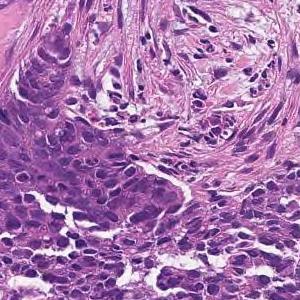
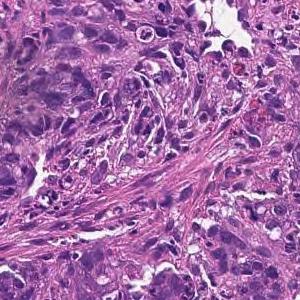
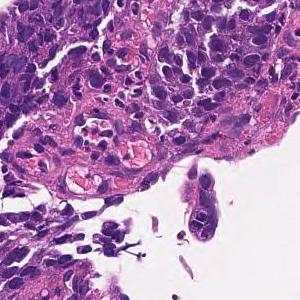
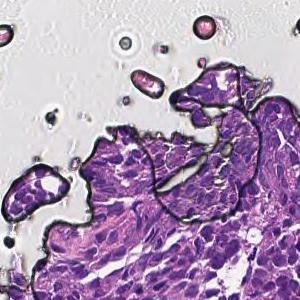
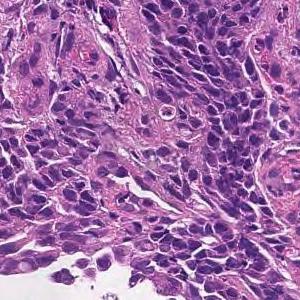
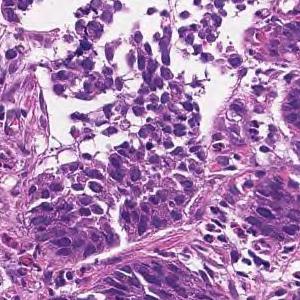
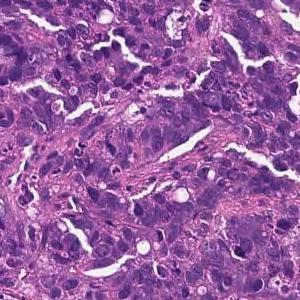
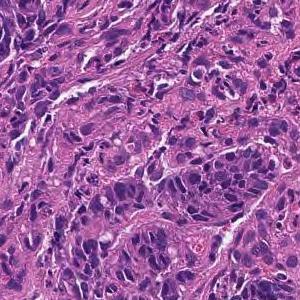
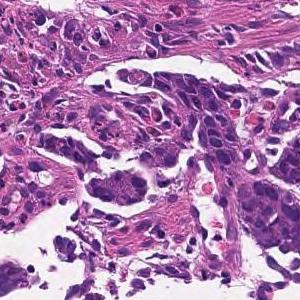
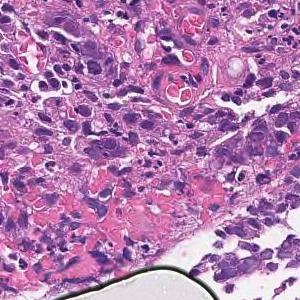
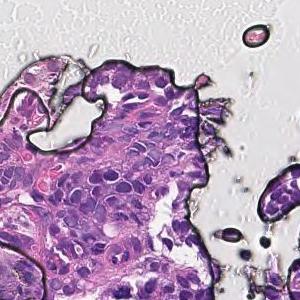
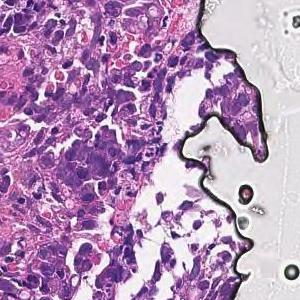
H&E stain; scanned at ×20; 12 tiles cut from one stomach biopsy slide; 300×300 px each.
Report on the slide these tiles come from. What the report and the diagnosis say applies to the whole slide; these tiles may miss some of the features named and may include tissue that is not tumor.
Tumor tissue consisting of cord-like or small, irregular glandular ducts fused and infiltrated is observed in the superficial epithelium. Poorly differentiated adenocarcinoma, non-solid type
"Non-solid type" is a category of the Japanese Classification of Gastric Carcinoma.
